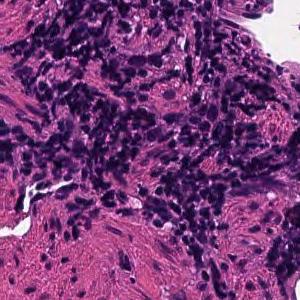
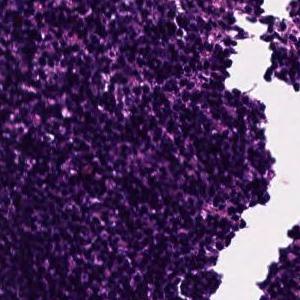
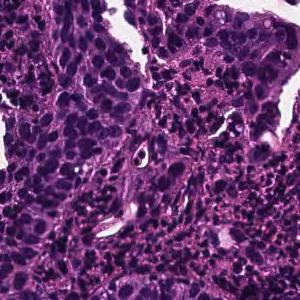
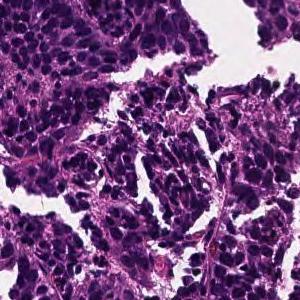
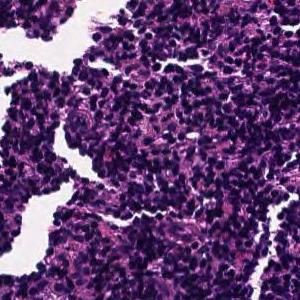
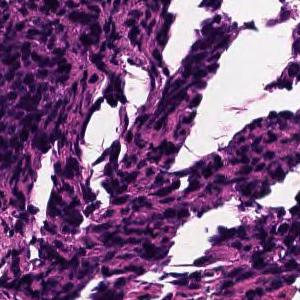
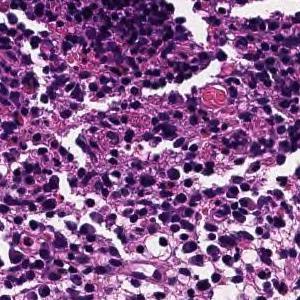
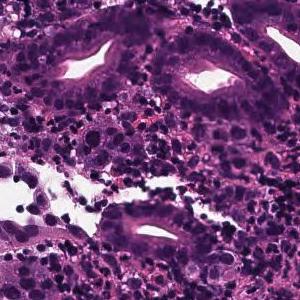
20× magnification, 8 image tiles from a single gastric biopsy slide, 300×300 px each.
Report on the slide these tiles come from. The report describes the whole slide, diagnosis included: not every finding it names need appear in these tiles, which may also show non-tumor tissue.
Tumor tissue consisting of cord-like or small, irregular glandular ducts fused and infiltrated is observed in the superficial epithelium. Poorly differentiated adenocarcinoma, non-solid type
"Non-solid type" is a category of the Japanese Classification of Gastric Carcinoma.
